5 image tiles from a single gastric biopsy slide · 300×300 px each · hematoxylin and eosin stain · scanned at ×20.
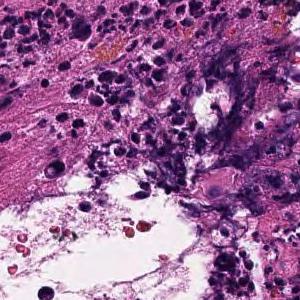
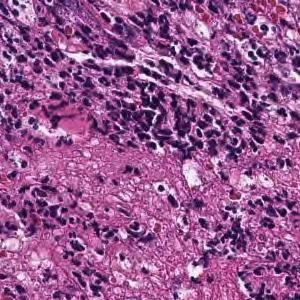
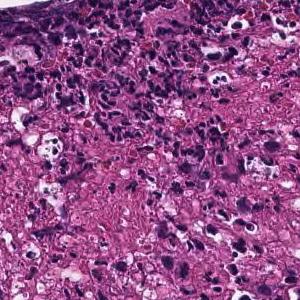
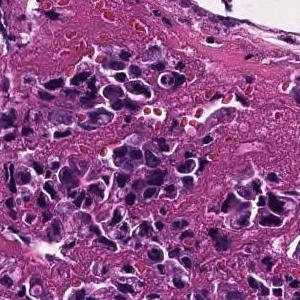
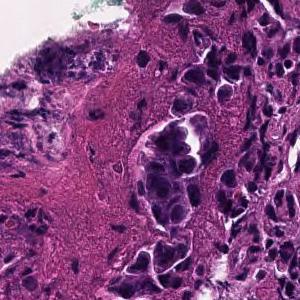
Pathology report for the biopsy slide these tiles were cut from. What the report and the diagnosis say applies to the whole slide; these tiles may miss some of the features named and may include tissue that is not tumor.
Tumor tissue consisting of cord-like or small, irregular glandular ducts fused and infiltrated is observed in the superficial epithelium. Poorly differentiated adenocarcinoma, non-solid type
The non-solid type named here is a Japanese Classification of Gastric Carcinoma category.
